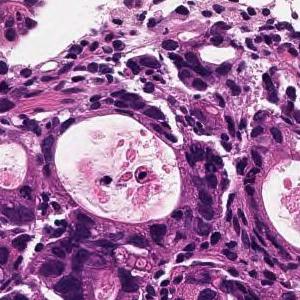
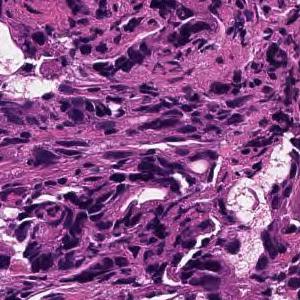
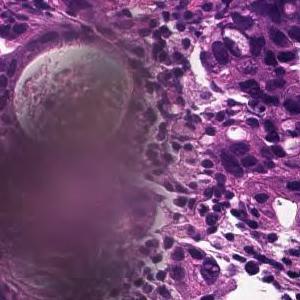
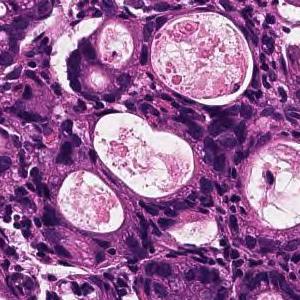
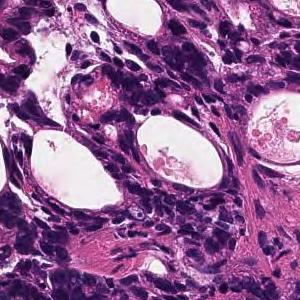
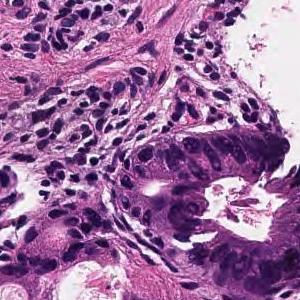
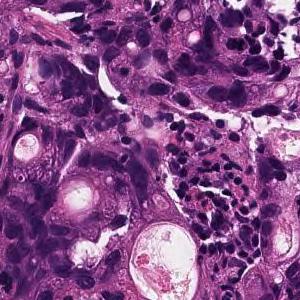
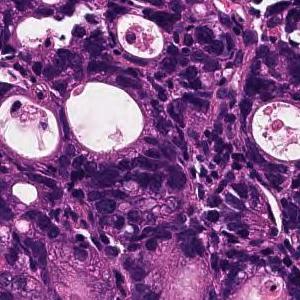
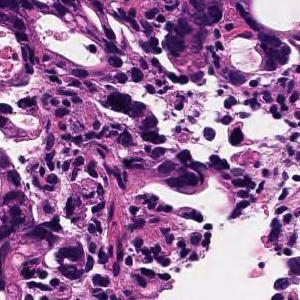
9 patches cut from one gastric biopsy slide; H&E; 20× magnification.
Diagnostic report for the slide these tiles come from. The findings and the diagnosis refer to the entire slide; these tiles show only part of it, possibly with non-tumor tissue, and may not show every feature named.
In the superficial epithelium, tumor tissue that invades by forming medium-sized to small, irregular ducts is observed. moderately differentiated tubular adenocarcinoma.
